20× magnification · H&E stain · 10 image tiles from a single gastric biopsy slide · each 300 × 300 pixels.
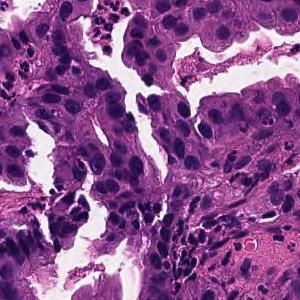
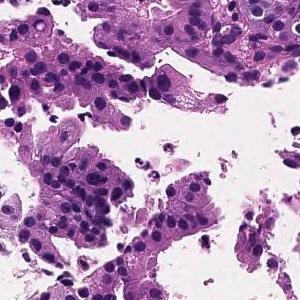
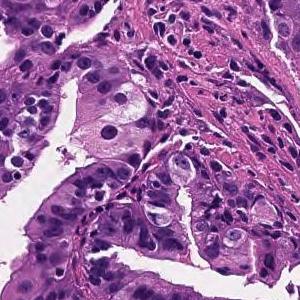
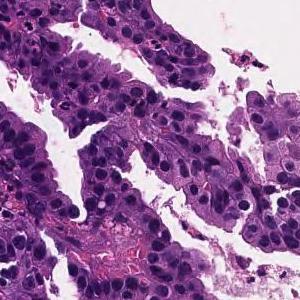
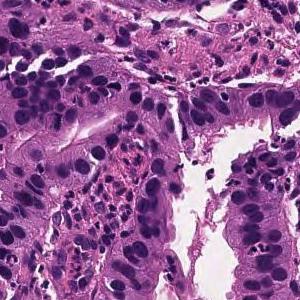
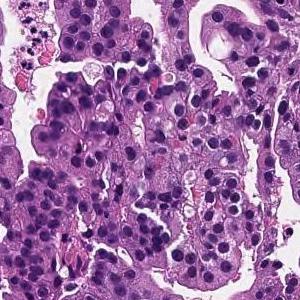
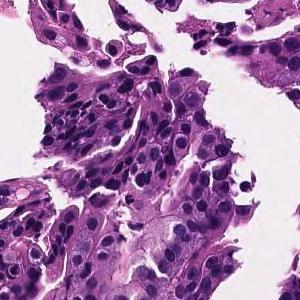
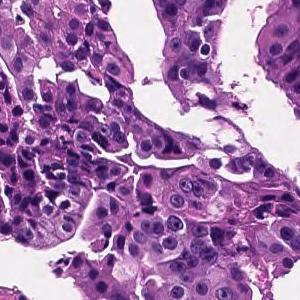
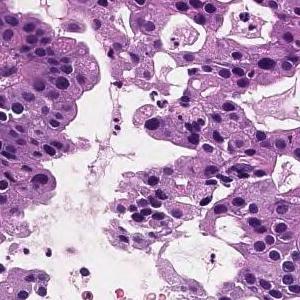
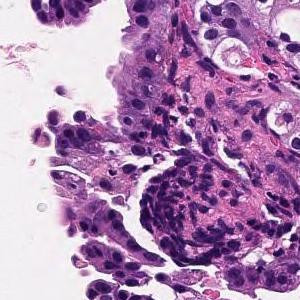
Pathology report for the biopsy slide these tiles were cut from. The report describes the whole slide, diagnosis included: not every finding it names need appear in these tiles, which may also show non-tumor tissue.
On the superficial epithelium, tumor tissue consisting of large, irregular glandular ducts partially fused and infiltrated is observed. Well to moderately differentiated tubular adenocarcinoma (well differentiated tubular adenocarcinoma, moderately differentiated tubular adenocarcinoma)
Tumor subtype: well to moderately differentiated tubular adenocarcinoma.
